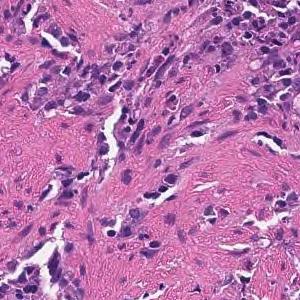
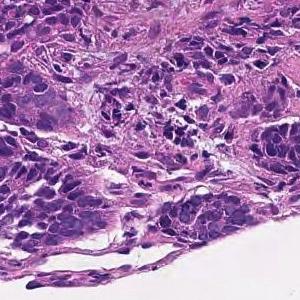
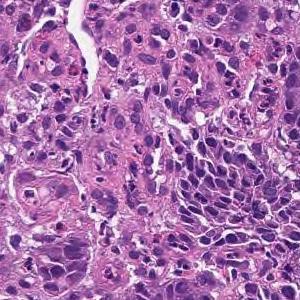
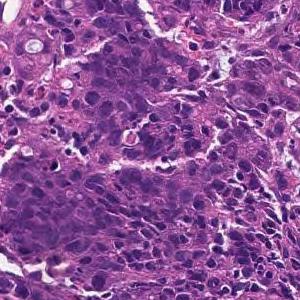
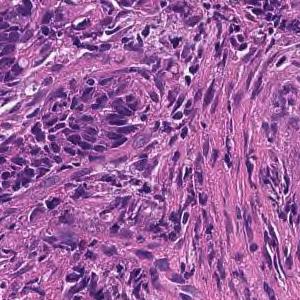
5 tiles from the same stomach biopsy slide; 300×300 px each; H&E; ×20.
Pathology report for the biopsy slide these tiles were cut from. The findings and the diagnosis refer to the entire slide; these tiles show only part of it, possibly with non-tumor tissue, and may not show every feature named.
Tumor tissue consisting of cord-like or small, irregular glandular ducts fused and infiltrated is observed in the superficial epithelium. Poorly differentiated adenocarcinoma, non-solid type
The term "non-solid type" comes from the Japanese Classification of Gastric Carcinoma.
